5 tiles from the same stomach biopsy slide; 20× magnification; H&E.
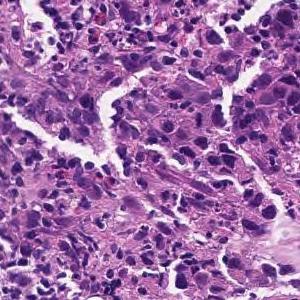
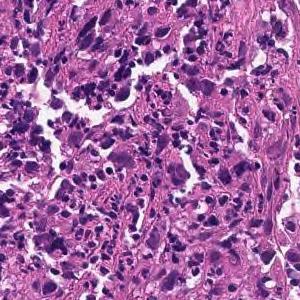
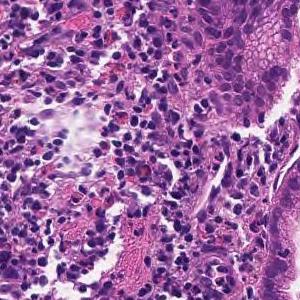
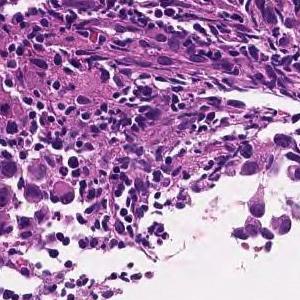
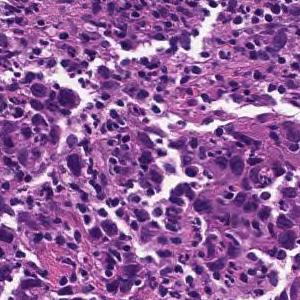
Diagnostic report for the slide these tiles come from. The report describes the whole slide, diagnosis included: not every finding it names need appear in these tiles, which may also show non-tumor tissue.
The superficial epithelium shows a large sheet-like shape, and some tumor tissue infiltrates with small irregular ducts. Poorly differentiated adenocarcinoma, solid-type (poorly differentiated adenocarcinoma, solid type)
Classified as poorly differentiated adenocarcinoma, solid type, a category of the Japanese Classification of Gastric Carcinoma; in the WHO 2019 classification it is tubular adenocarcinoma, poorly differentiated.
